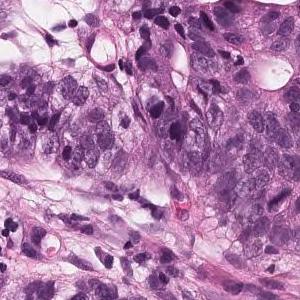
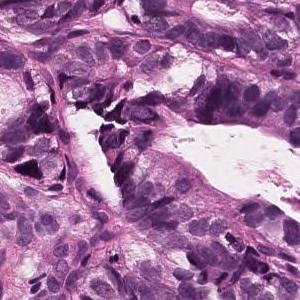
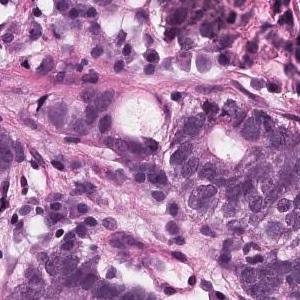
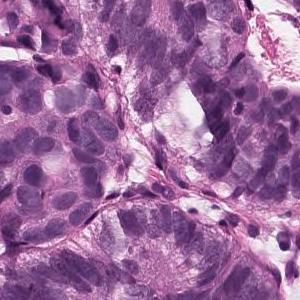
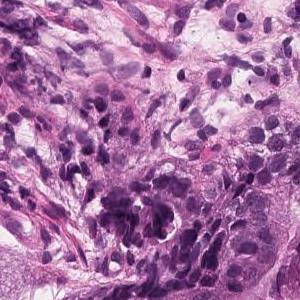
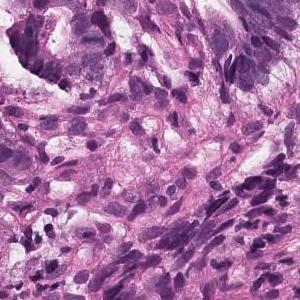
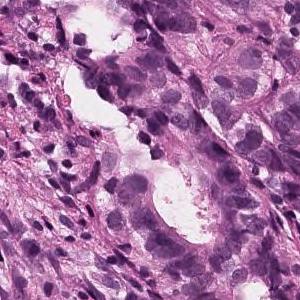
7 image tiles from a single gastric biopsy slide, 300 × 300 pixels each, ×20, H&E.
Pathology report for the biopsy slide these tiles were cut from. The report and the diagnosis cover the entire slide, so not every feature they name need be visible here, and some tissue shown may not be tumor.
On the superficial epithelium, tumor tissue consisting of large, irregular glandular ducts partially fused and infiltrated is observed. Well to moderately differentiated tubular adenocarcinoma (well differentiated tubular adenocarcinoma, moderately differentiated tubular adenocarcinoma)
Subtype: Well to moderately differentiated tubular adenocarcinoma.
